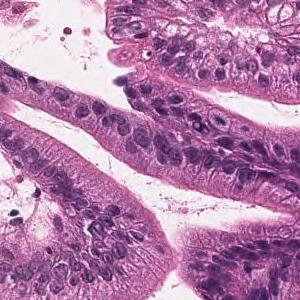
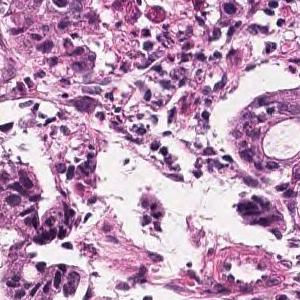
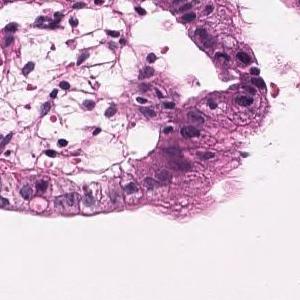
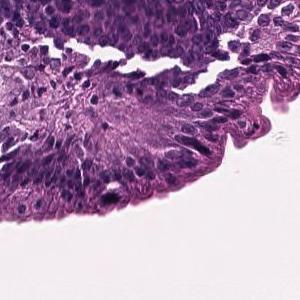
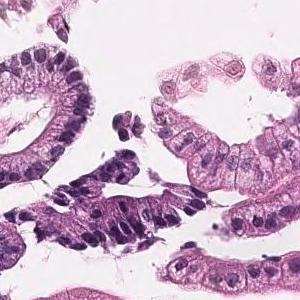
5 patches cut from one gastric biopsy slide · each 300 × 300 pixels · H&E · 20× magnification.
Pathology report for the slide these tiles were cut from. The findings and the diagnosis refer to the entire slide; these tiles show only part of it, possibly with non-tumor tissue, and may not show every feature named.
Tumor tissue that grows invasively while the short atypical epithelium forms small ducts is observed. moderately differentiated tubular adenocarcinoma
